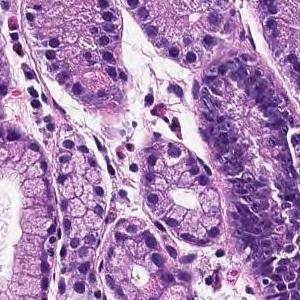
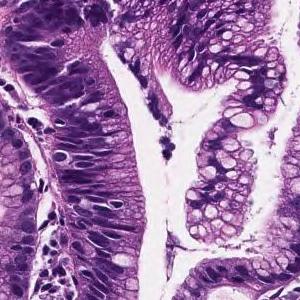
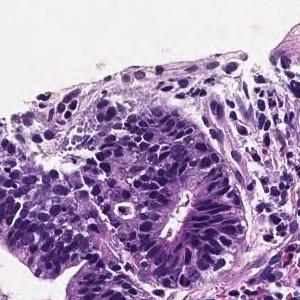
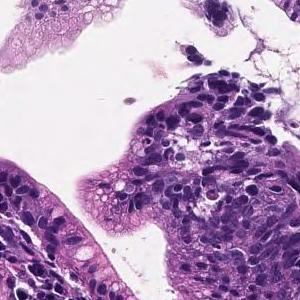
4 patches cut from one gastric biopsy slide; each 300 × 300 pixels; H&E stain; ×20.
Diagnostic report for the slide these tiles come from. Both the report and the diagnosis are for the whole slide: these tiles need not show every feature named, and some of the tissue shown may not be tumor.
From the superficial epithelium to the muscularis mucosae, tumor tissue consisting of medium-sized and irregular glandular ducts infiltrating is observed. Well differentiated tubular adenocarcinoma
